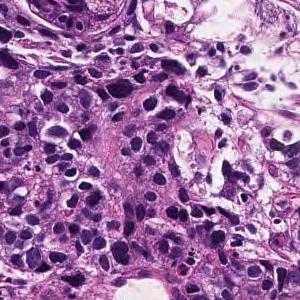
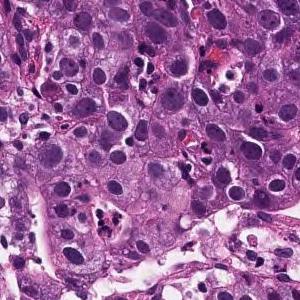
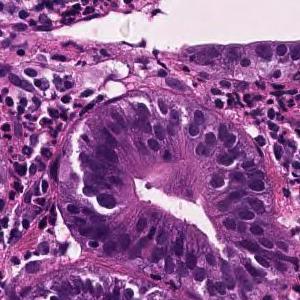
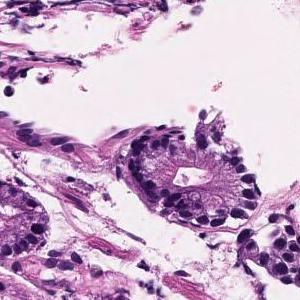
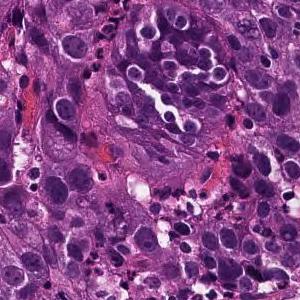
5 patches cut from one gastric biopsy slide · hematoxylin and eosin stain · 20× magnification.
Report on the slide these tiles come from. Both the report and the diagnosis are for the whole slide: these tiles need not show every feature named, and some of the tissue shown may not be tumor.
In the superficial epithelium, tumor tissue that invades by forming medium-sized to small, irregular ducts is observed. moderately differentiated tubular adenocarcinoma.
